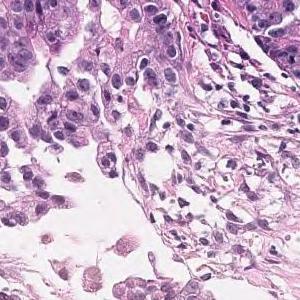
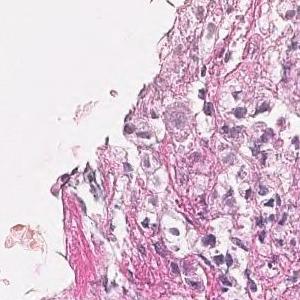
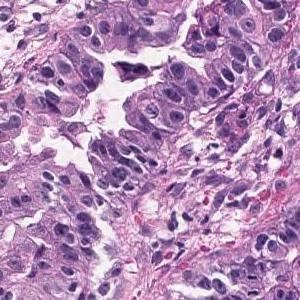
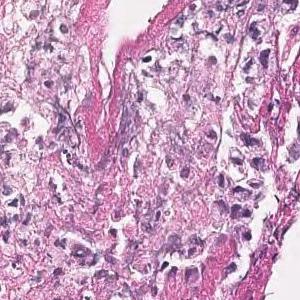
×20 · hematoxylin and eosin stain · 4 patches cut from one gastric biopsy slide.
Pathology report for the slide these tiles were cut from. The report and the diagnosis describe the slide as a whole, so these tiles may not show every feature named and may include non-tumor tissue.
In the superficial epithelium, tumor tissue that invades by forming medium-sized to small, irregular ducts is observed. moderately differentiated tubular adenocarcinoma.
